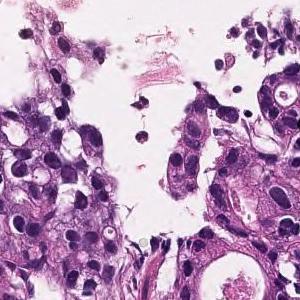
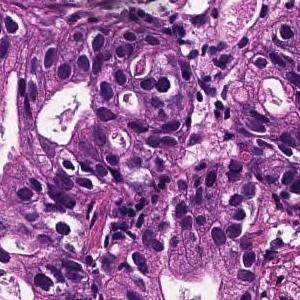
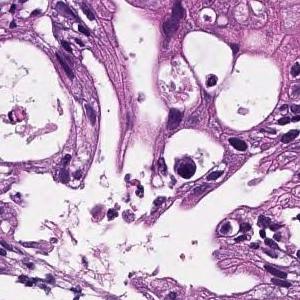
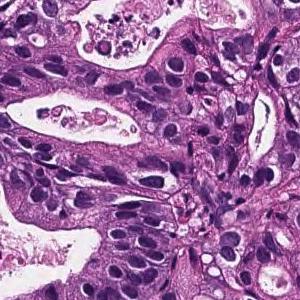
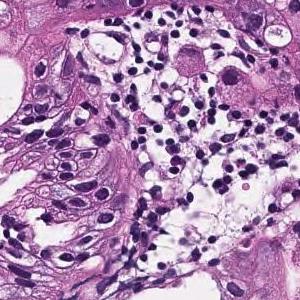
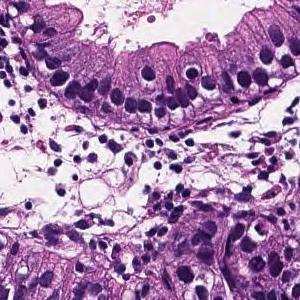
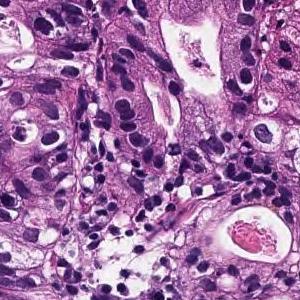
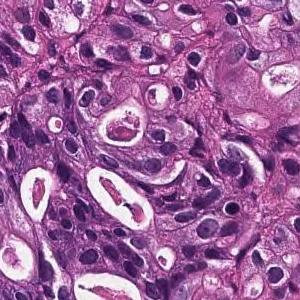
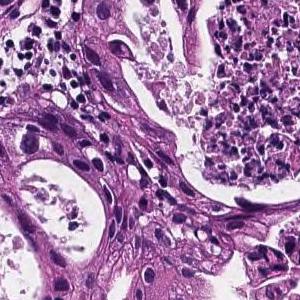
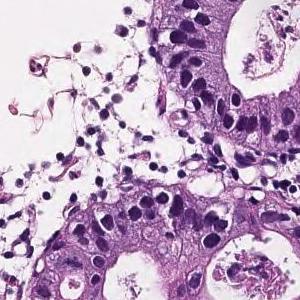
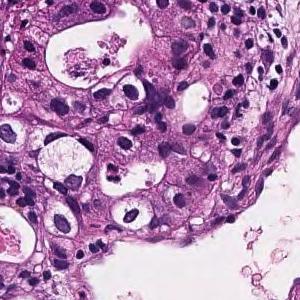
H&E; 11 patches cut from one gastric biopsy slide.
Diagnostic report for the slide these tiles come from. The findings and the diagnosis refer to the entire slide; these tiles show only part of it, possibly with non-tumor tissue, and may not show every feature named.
From the superficial epithelium to the muscularis mucosae, tumor tissue infiltrating by forming medium-sized irregular gland ducts is observed. Large tumor cells exhibit large nucleus and hyperchromatism. Well differentiated tubular adenocarcinoma
